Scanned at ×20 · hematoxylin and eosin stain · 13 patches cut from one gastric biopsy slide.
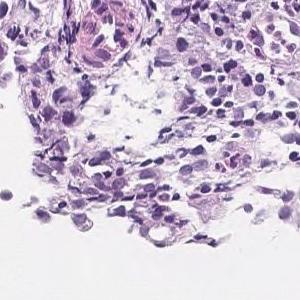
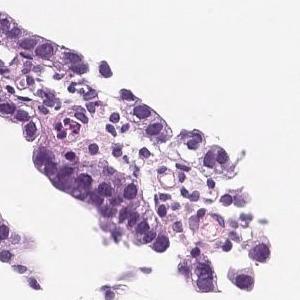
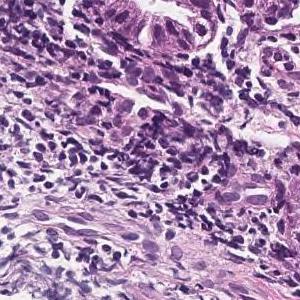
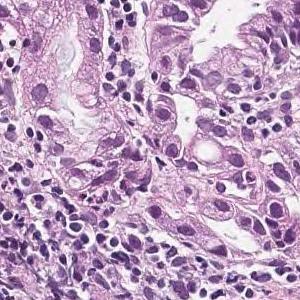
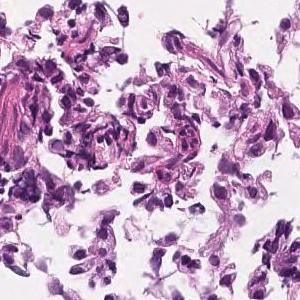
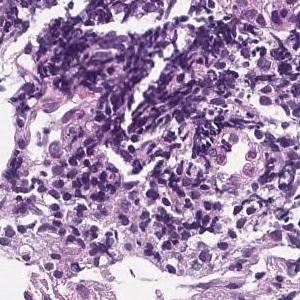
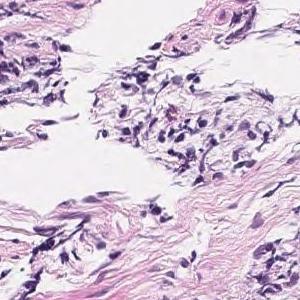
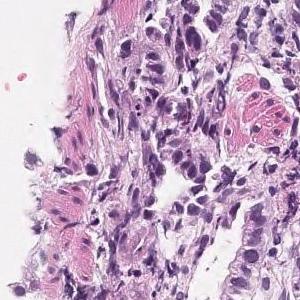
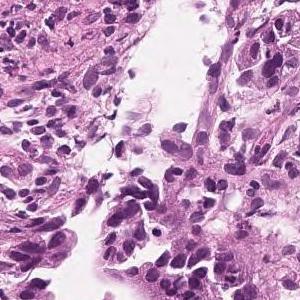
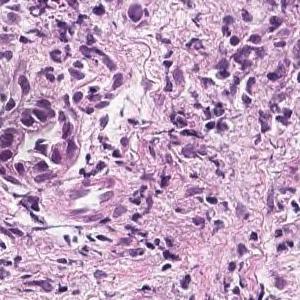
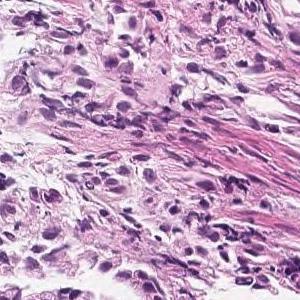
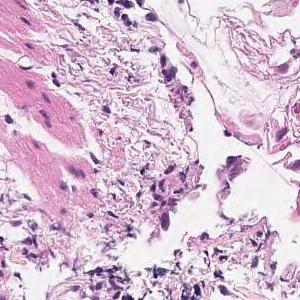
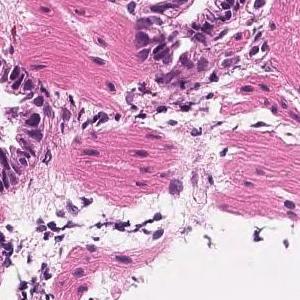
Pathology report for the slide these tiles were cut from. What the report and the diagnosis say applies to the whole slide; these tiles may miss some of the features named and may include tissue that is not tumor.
In the superficial epithelium, tumor tissue that invades by forming medium-sized to small, irregular ducts is observed. moderately differentiated tubular adenocarcinoma.
